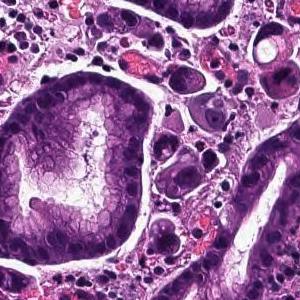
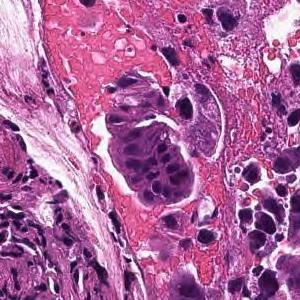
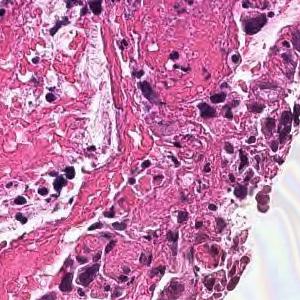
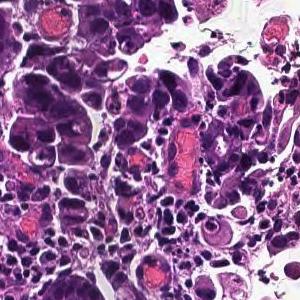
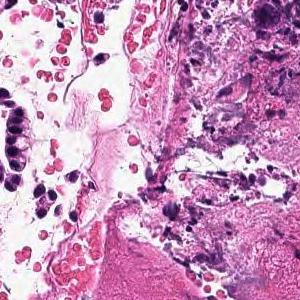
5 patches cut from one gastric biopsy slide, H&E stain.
Pathology report for the biopsy slide these tiles were cut from. The report and the diagnosis cover the entire slide, so not every feature they name need be visible here, and some tissue shown may not be tumor.
Tumor tissue consisting of medium-sized, cord-like or irregular glandular infiltration is observed in the superficial epithelium. Poorly differentiated adenocarcinoma, non-solid type or moderately differentiated tubular adenocarcinoma
Histologic type: Moderately to poorly differentiated adenocarcinoma.
"Non-solid type" is a category of the Japanese Classification of Gastric Carcinoma.
